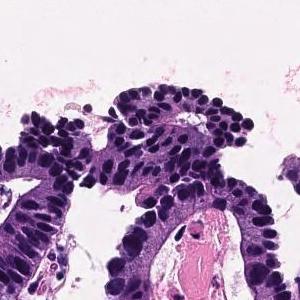
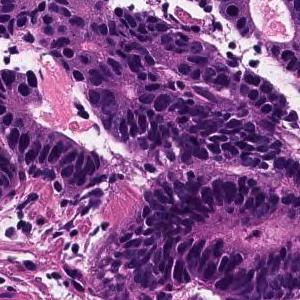
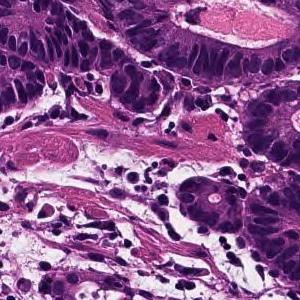
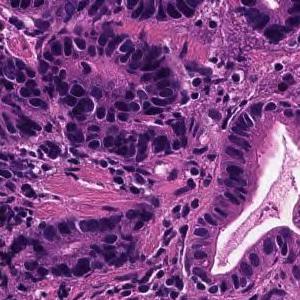
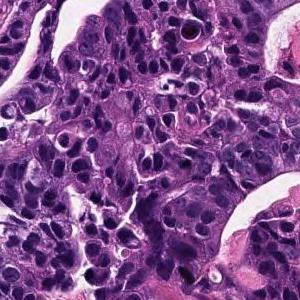
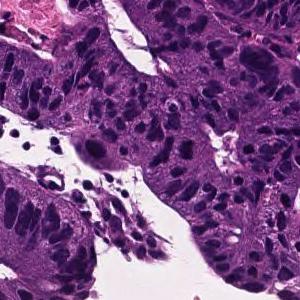
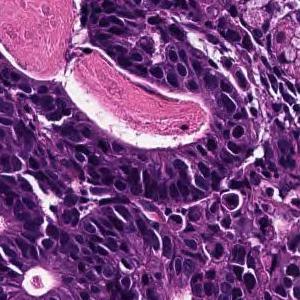
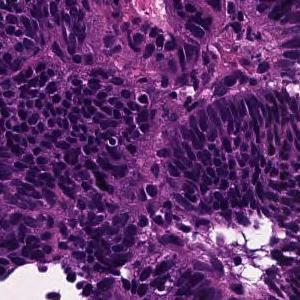
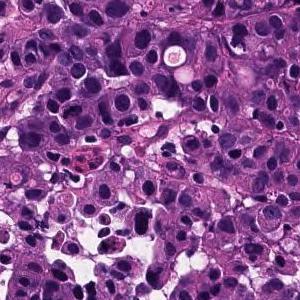
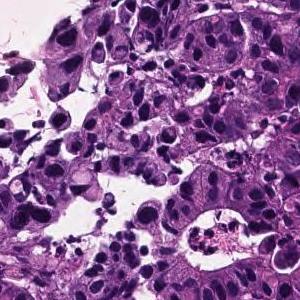
10 tiles cut from one stomach biopsy slide · each 300 × 300 pixels · 20× magnification.
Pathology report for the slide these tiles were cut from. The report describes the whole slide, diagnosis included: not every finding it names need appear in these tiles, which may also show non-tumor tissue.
In the superficial epithelium, tumor tissue that invades by forming medium-sized to small, irregular ducts is observed. moderately differentiated tubular adenocarcinoma.
